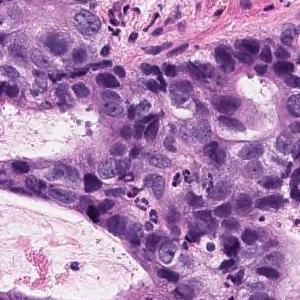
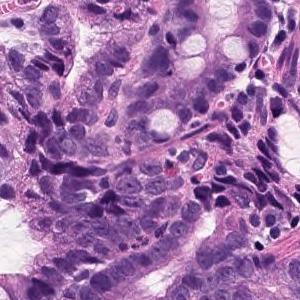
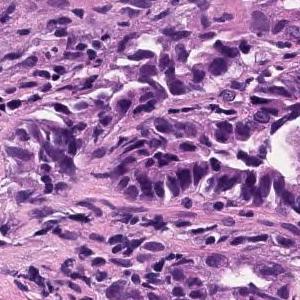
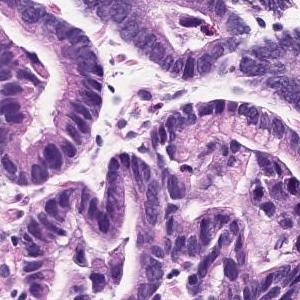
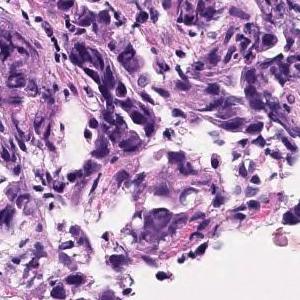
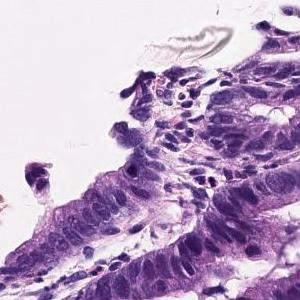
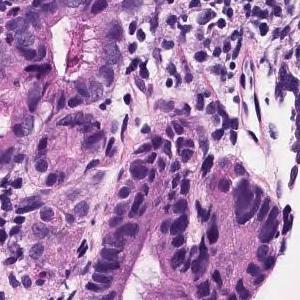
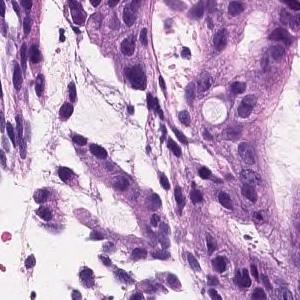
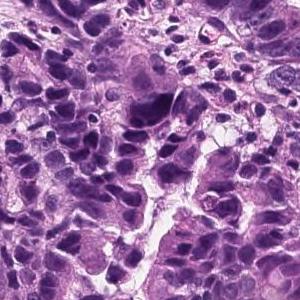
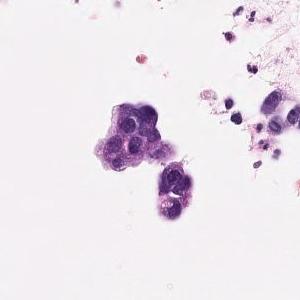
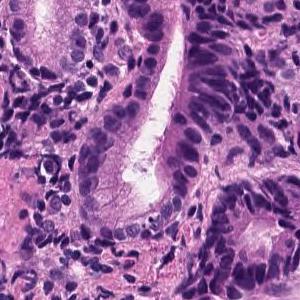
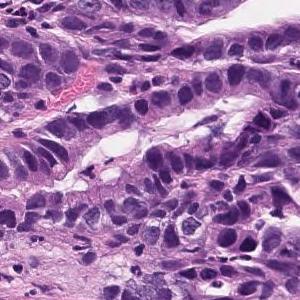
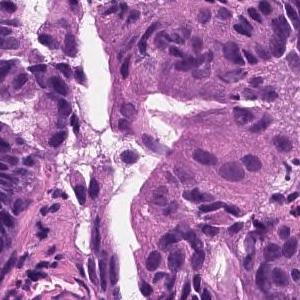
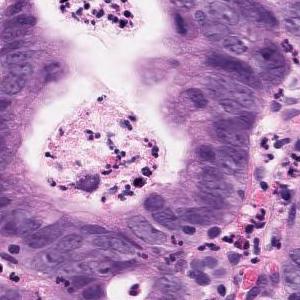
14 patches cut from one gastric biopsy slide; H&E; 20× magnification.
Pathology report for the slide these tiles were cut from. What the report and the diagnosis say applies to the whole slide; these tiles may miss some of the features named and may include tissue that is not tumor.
The swollen atypical epithelium of the nucleus forms an irregular ductal structure and proliferates. moderately differentiated tubular adenocarcinoma
